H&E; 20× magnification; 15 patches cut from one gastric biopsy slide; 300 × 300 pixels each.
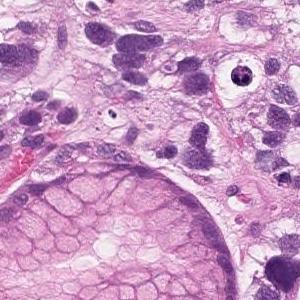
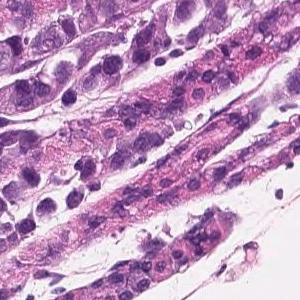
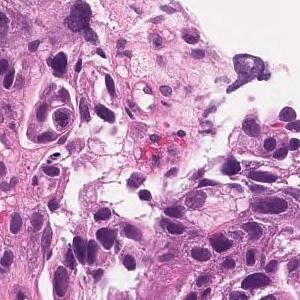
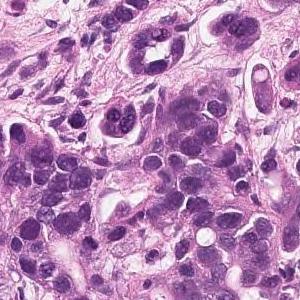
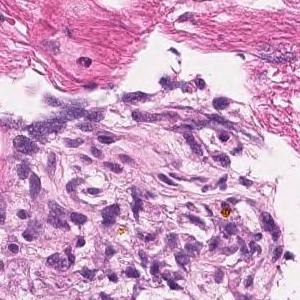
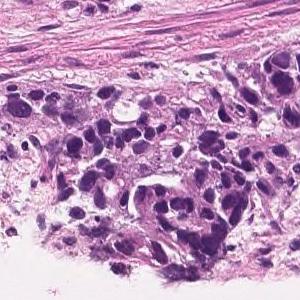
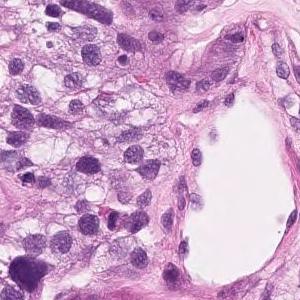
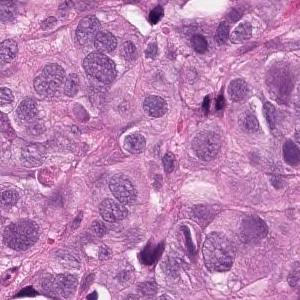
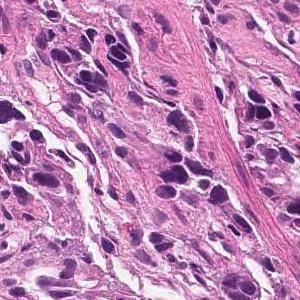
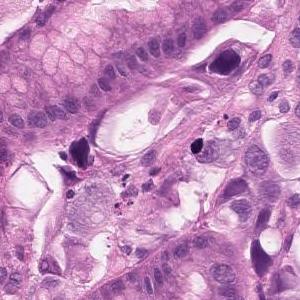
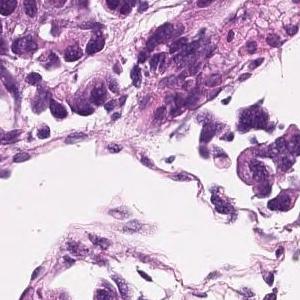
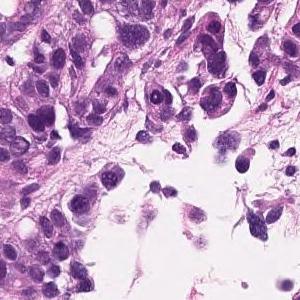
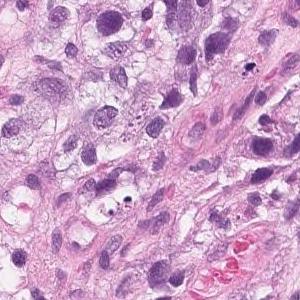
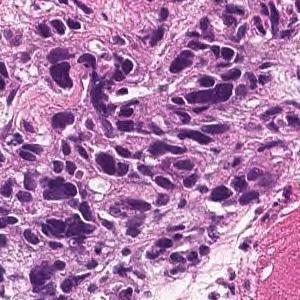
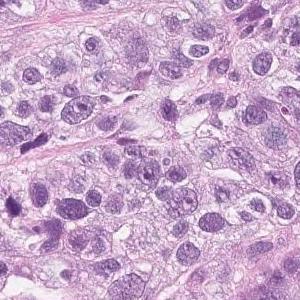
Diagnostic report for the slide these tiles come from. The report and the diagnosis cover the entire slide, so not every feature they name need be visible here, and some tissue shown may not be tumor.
Tumor tissue that infiltrates the epithelium in an alveolar manner. Poorly differentiated adenocarcinoma, solid-type
Histologic type: Poorly differentiated adenocarcinoma, solid type. This name comes from the Japanese Classification of Gastric Carcinoma; the WHO 2019 classification calls it tubular adenocarcinoma, poorly differentiated.
